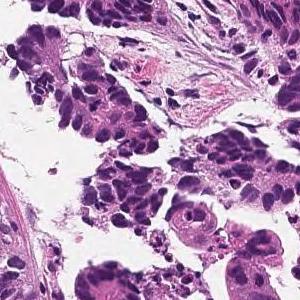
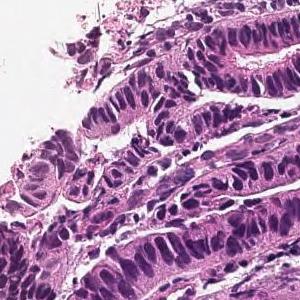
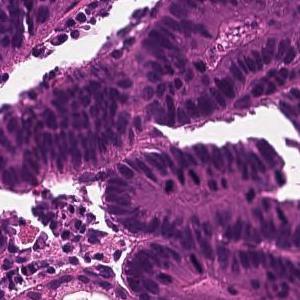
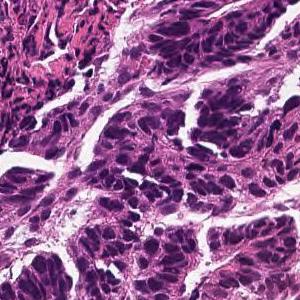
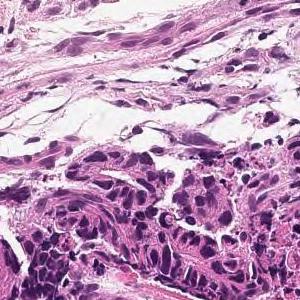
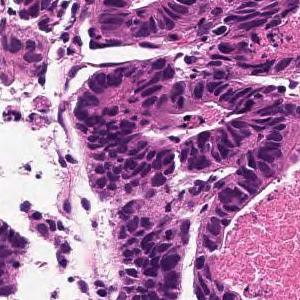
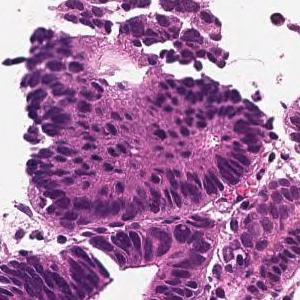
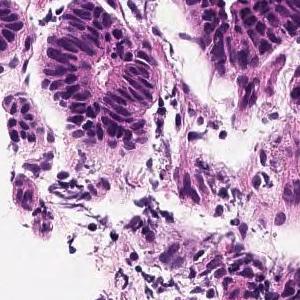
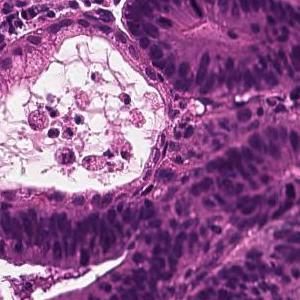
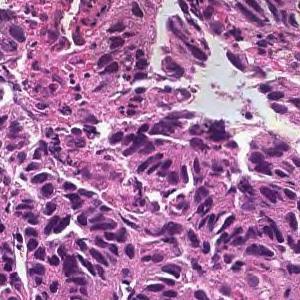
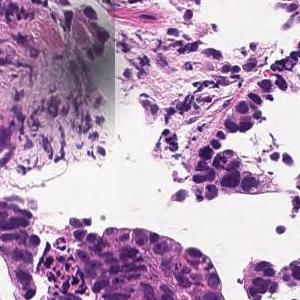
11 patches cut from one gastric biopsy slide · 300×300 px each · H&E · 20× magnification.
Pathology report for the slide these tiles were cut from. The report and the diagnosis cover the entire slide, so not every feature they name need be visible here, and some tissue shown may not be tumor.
From the superficial epithelium to the muscularis mucosae, tumor tissue consisting of medium-sized and irregular glandular ducts infiltrating is observed. Well differentiated tubular adenocarcinoma
